×20; 16 patches cut from one gastric biopsy slide; 300×300 px each.
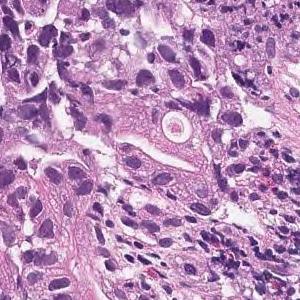
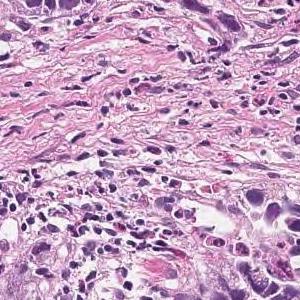
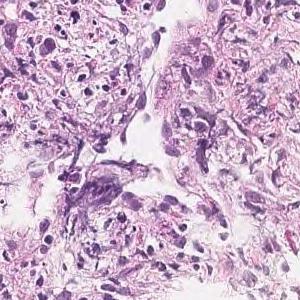
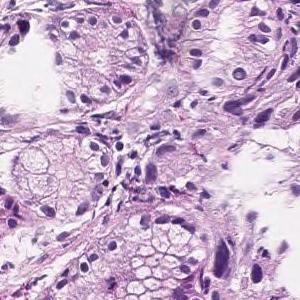
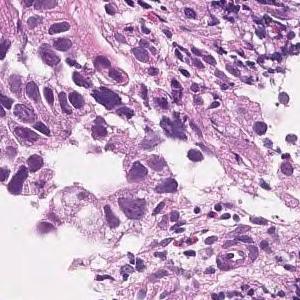
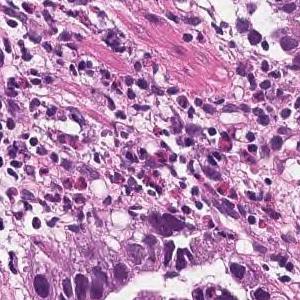
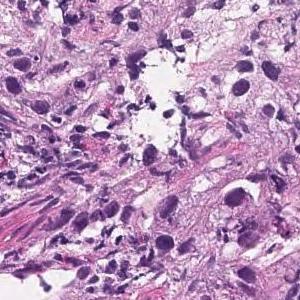
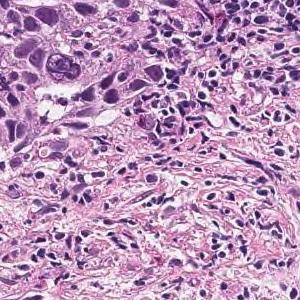
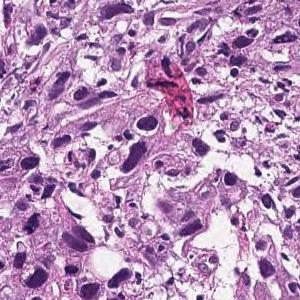
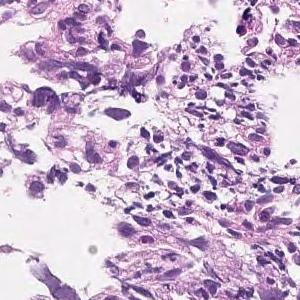
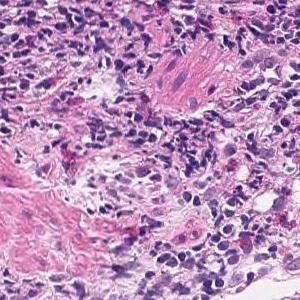
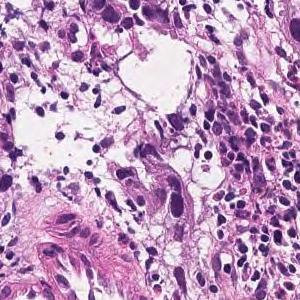
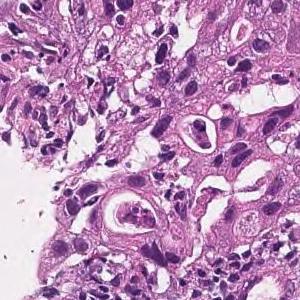
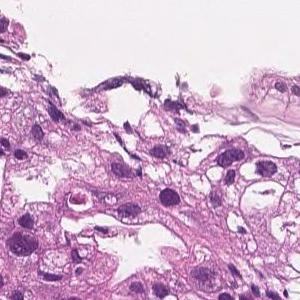
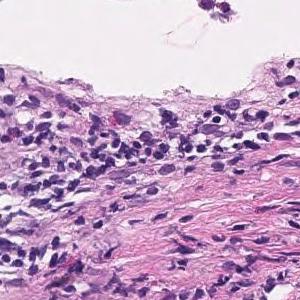
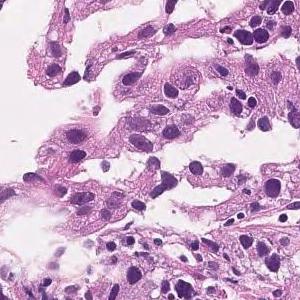
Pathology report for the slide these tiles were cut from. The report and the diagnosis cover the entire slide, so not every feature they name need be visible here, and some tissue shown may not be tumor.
In the superficial epithelium, tumor tissue that invades by forming medium-sized to small, irregular ducts is observed. moderately differentiated tubular adenocarcinoma.
